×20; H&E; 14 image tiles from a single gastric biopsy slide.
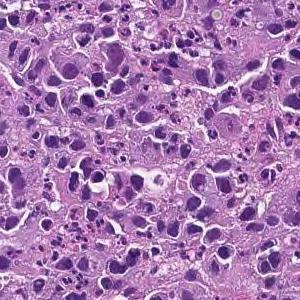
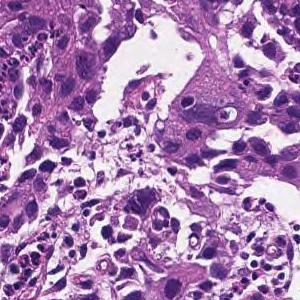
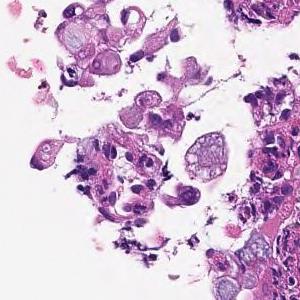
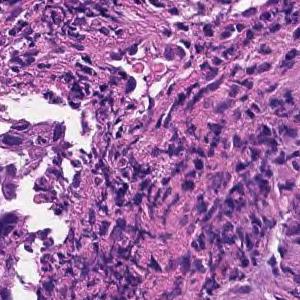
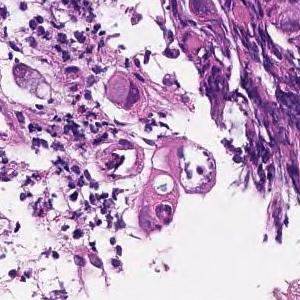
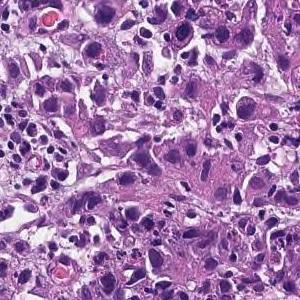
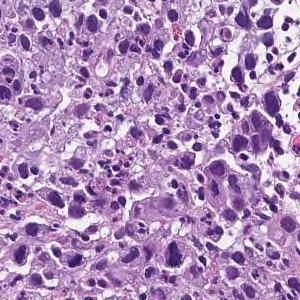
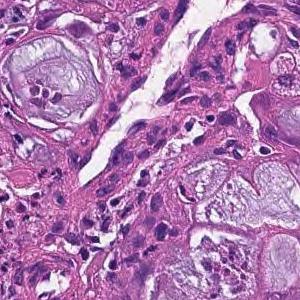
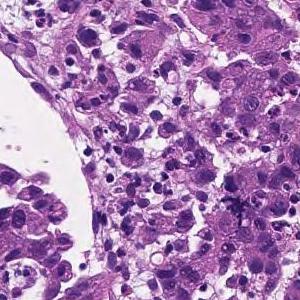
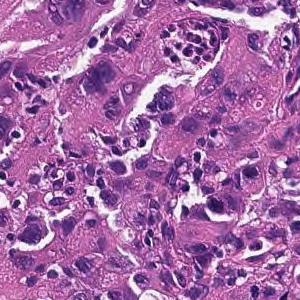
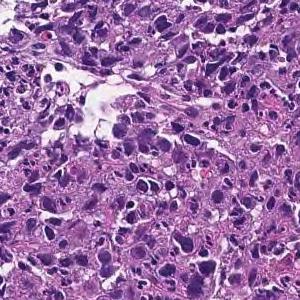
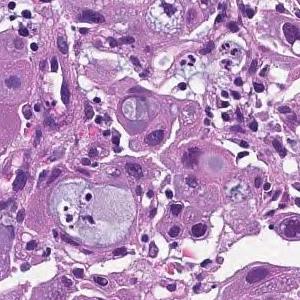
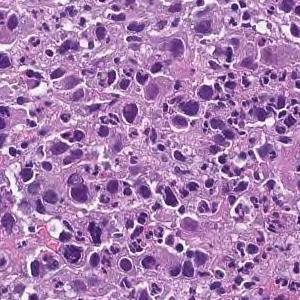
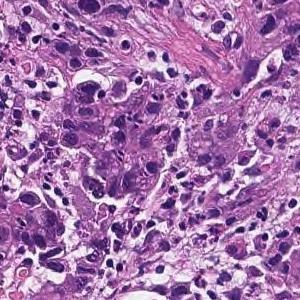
The pathologist's report on the biopsy slide these tiles were taken from. The report and the diagnosis cover the entire slide, so not every feature they name need be visible here, and some tissue shown may not be tumor.
The superficial epithelium shows a large sheet-like shape, and some tumor tissue infiltrates with small irregular ducts. Poorly differentiated adenocarcinoma, solid-type
Classified as poorly differentiated adenocarcinoma, solid type (Japanese Classification of Gastric Carcinoma). The WHO 2019 equivalent is tubular adenocarcinoma, poorly differentiated.
